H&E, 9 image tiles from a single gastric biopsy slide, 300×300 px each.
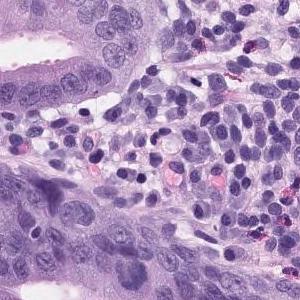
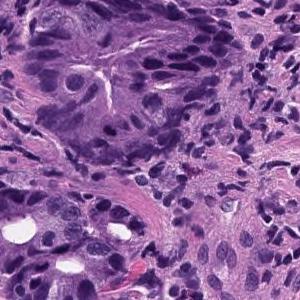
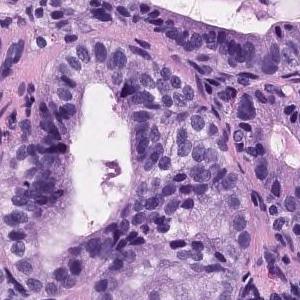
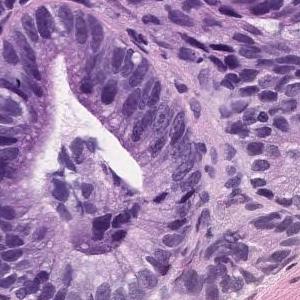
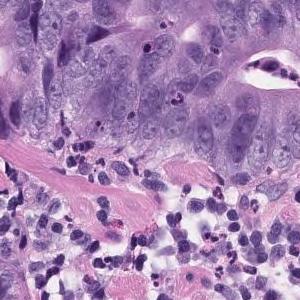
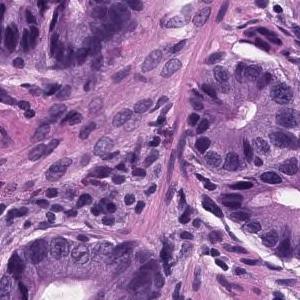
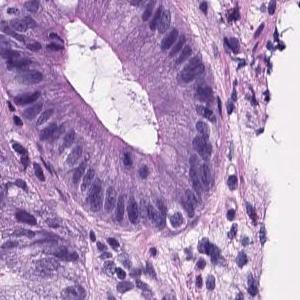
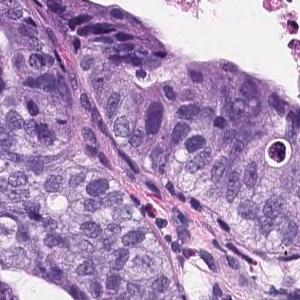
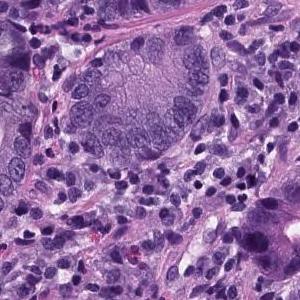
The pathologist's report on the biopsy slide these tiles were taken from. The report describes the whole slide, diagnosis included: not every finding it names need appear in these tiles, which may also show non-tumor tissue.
Tumor tissue consisting of medium-sized and irregular ducts is observed infiltrating in the superficial epithelium. Tumor cells are highly columnar, with nuclei aligned basolaterally and polarized. Well differentiated tubular adenocarcinoma.
